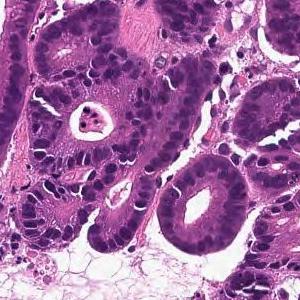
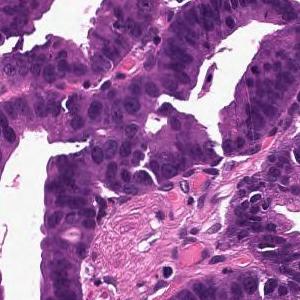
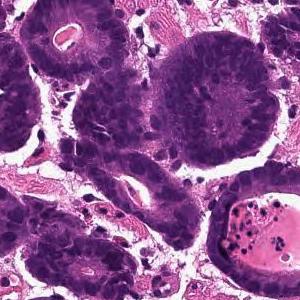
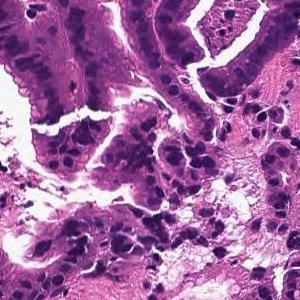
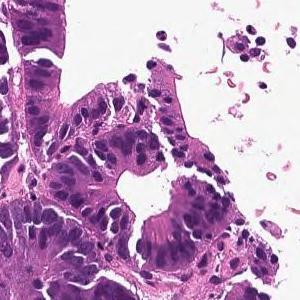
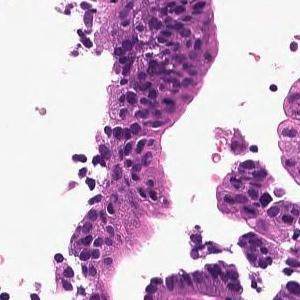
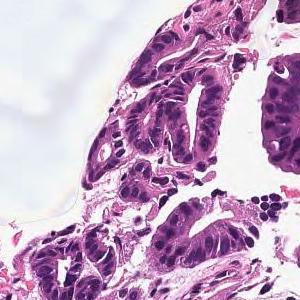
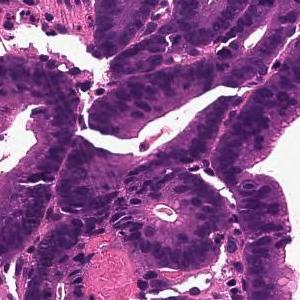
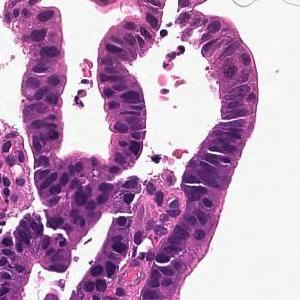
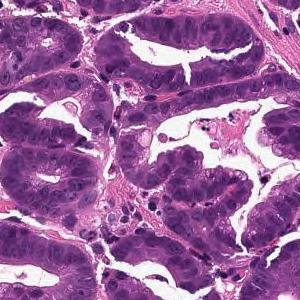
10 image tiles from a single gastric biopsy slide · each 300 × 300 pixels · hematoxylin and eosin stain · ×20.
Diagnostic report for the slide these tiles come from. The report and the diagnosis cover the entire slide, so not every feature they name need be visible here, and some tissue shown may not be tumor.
From the superficial epithelium to the muscularis mucosae, tumor tissue consisting of medium-sized and irregular glandular ducts infiltrating is observed. Well differentiated tubular adenocarcinoma
